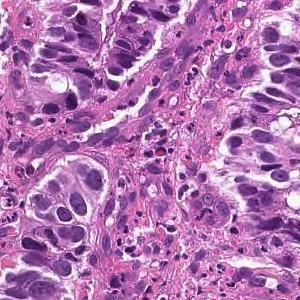
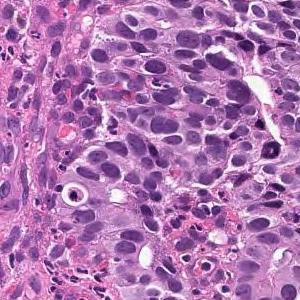
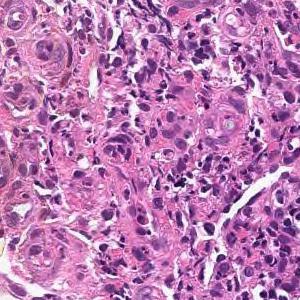
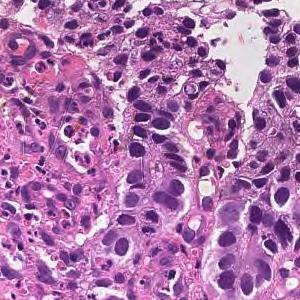
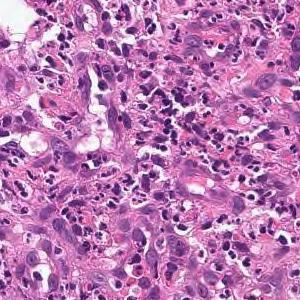
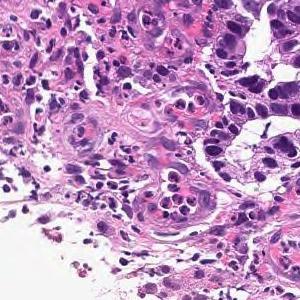
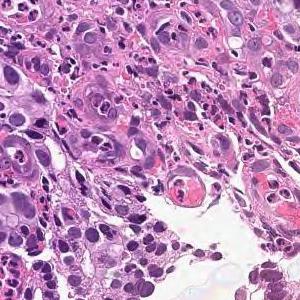
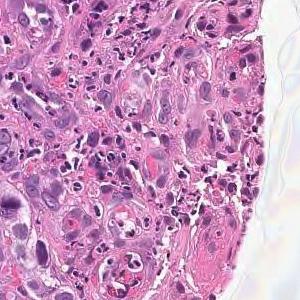
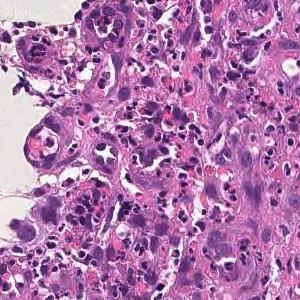
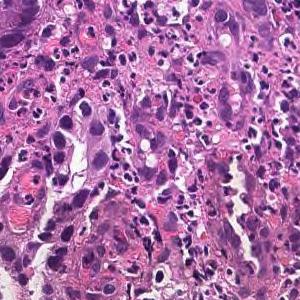
20× magnification · 10 image tiles from a single gastric biopsy slide.
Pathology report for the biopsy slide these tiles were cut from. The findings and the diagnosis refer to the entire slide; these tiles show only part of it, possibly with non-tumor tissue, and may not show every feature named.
On the superficial epithelium, tumor tissue consisting of large irregular glandular ducts partially fused and infiltrated is observed. Well to moderately differentiated tubular adenocarcinoma (well differentiated tubular adenocarcinoma, moderately differentiated tubular adenocarcinoma)
Classified as well to moderately differentiated tubular adenocarcinoma.
